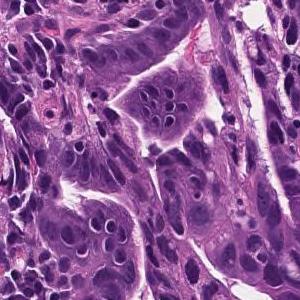
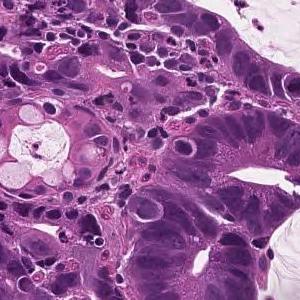
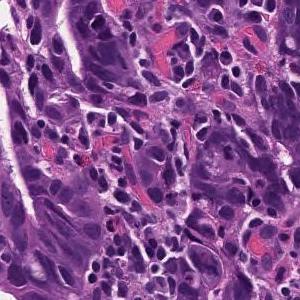
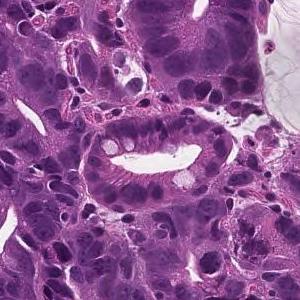
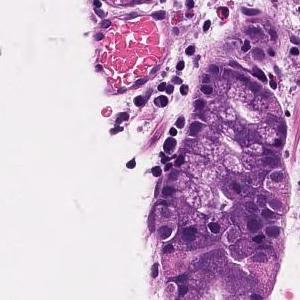
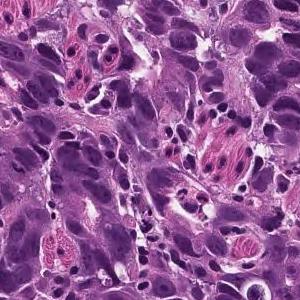
6 tiles cut from one stomach biopsy slide · each 300 × 300 pixels.
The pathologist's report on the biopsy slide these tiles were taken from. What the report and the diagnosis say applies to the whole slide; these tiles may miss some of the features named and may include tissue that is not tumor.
On the superficial epithelium, tumor tissue is found in which medium-sized irregular gland ducts fuse with each other and infiltrate. moderately differentiated tubular adenocarcinoma
